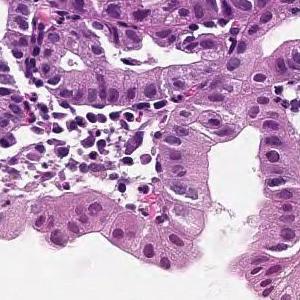
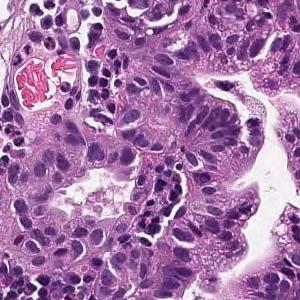
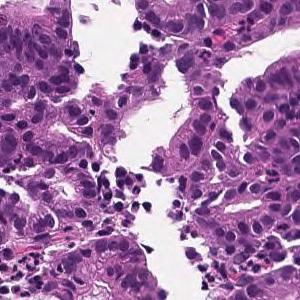
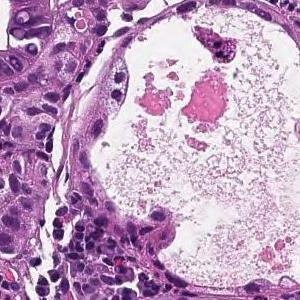
Scanned at ×20, H&E, 4 patches cut from one gastric biopsy slide.
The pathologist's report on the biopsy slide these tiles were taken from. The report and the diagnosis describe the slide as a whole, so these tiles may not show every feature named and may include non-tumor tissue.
From the superficial epithelium to the muscularis mucosae, tumor tissue consisting of medium-sized and irregular glandular ducts infiltrating is observed. Well differentiated tubular adenocarcinoma
